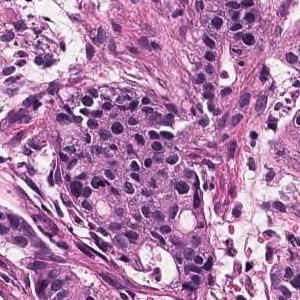
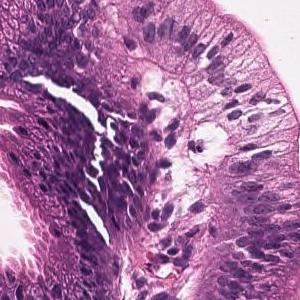
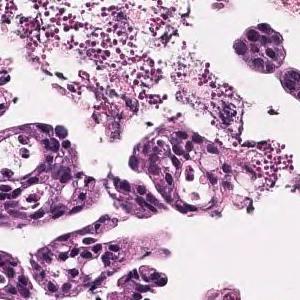
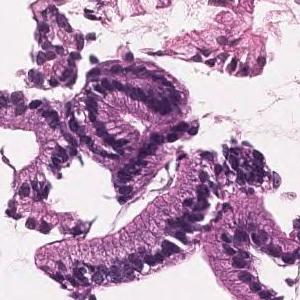
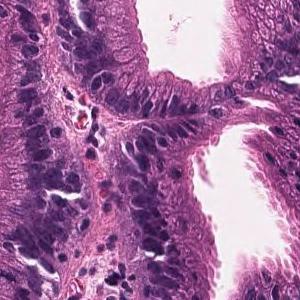
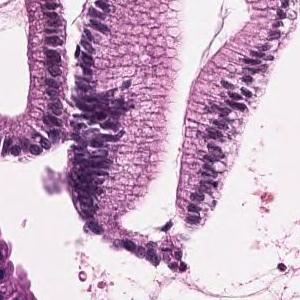
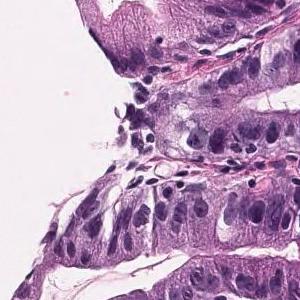
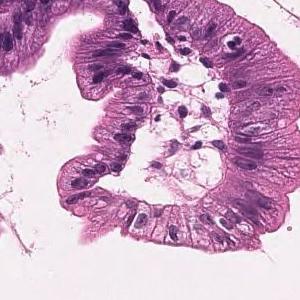
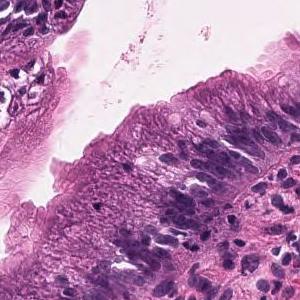
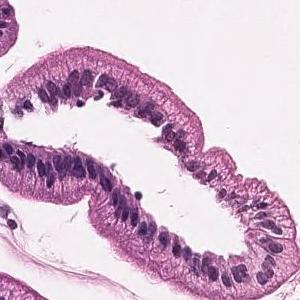
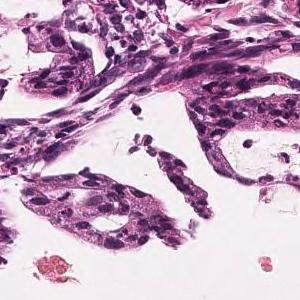
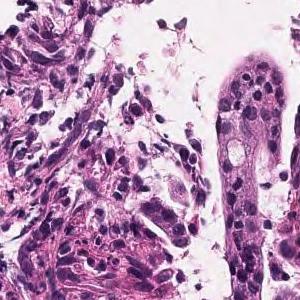
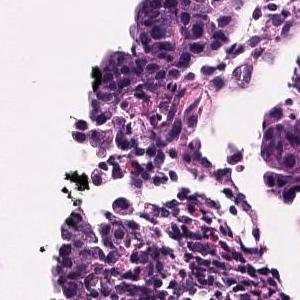
13 tiles cut from one stomach biopsy slide, each 300 × 300 pixels, hematoxylin and eosin stain.
Report on the slide these tiles come from. Both the report and the diagnosis are for the whole slide: these tiles need not show every feature named, and some of the tissue shown may not be tumor.
Tumor tissue that grows invasively while the short atypical epithelium forms small ducts is observed. moderately differentiated tubular adenocarcinoma
